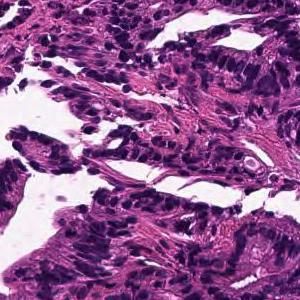
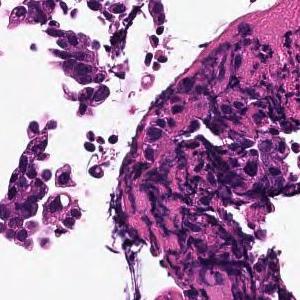
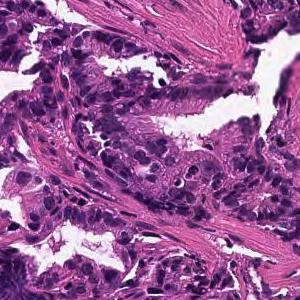
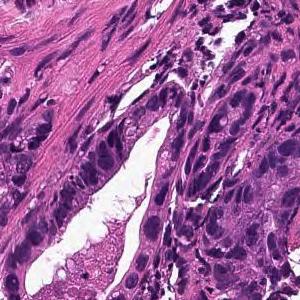
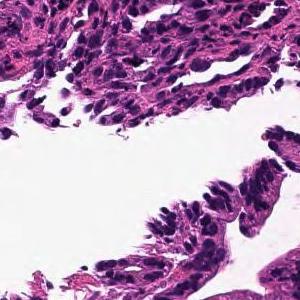
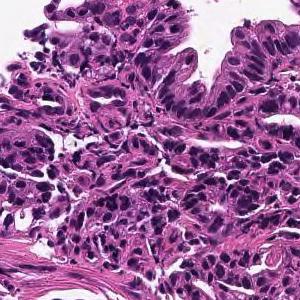
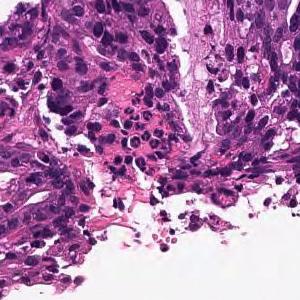
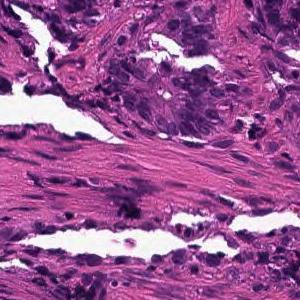
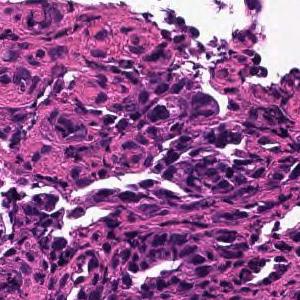
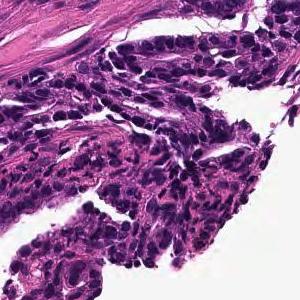
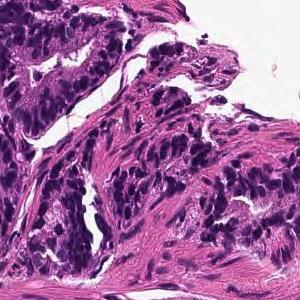
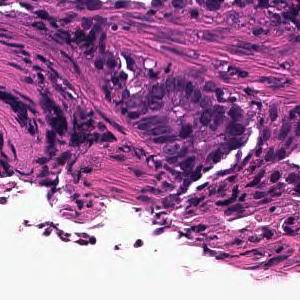
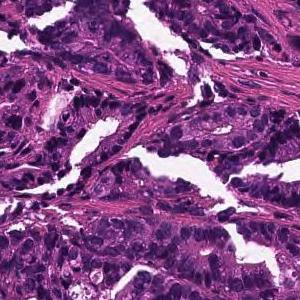
13 tiles from the same stomach biopsy slide · 20× magnification · H&E.
Diagnostic report for the slide these tiles come from. The report describes the whole slide, diagnosis included: not every finding it names need appear in these tiles, which may also show non-tumor tissue.
In the superficial epithelium, tumor tissue that invades by forming medium-sized to small, irregular ducts is observed. moderately differentiated tubular adenocarcinoma.
